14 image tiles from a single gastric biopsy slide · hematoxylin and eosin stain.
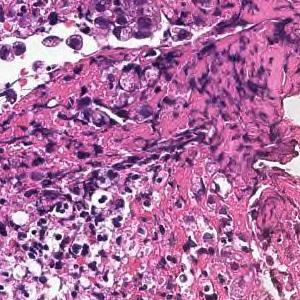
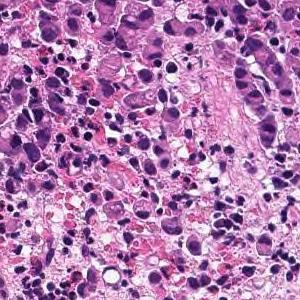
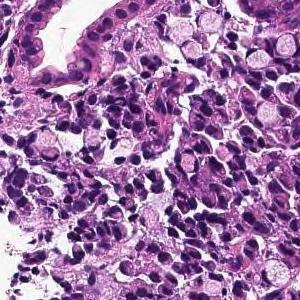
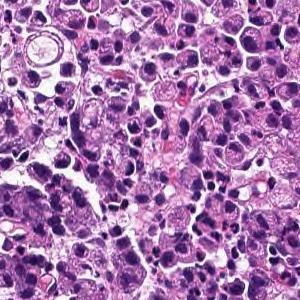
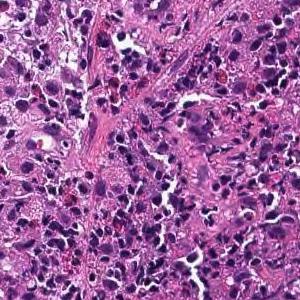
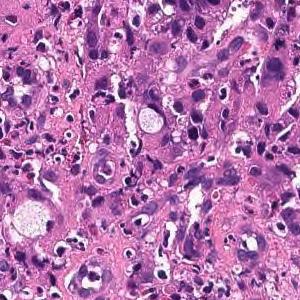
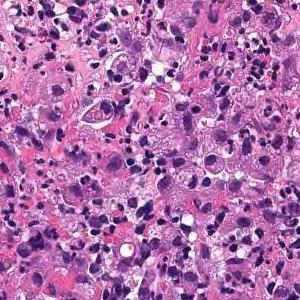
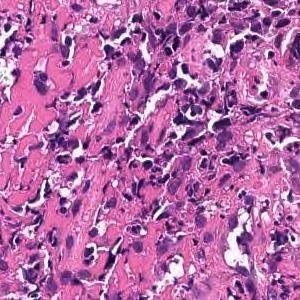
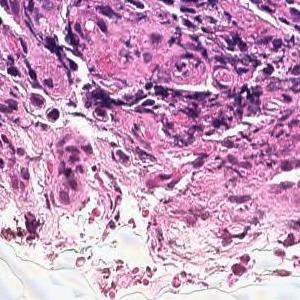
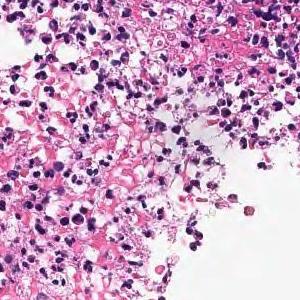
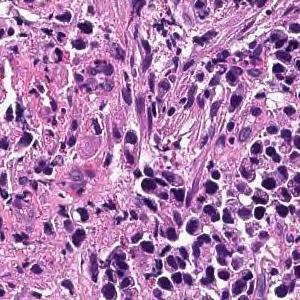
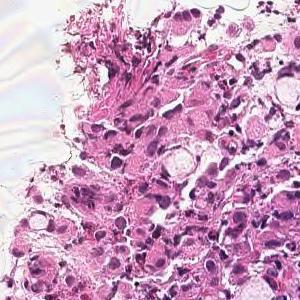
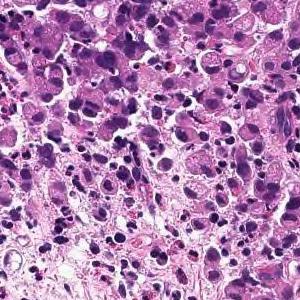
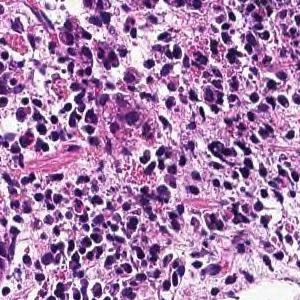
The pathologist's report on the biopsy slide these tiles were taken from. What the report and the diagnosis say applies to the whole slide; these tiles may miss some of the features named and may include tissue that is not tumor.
Tumor tissue consisting of diffusely infiltrated large atypical epithelial cells or signet ring atypical cells is observed in the superficial epithelium. Poorly differentiated adenocarcinoma, solid-type
Subtype: Poorly differentiated adenocarcinoma, solid type (Japanese Classification of Gastric Carcinoma). The WHO 2019 equivalent is tubular adenocarcinoma, poorly differentiated.
